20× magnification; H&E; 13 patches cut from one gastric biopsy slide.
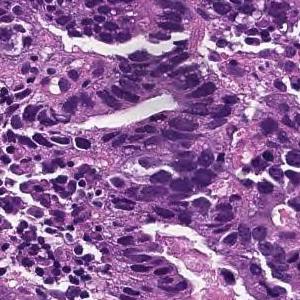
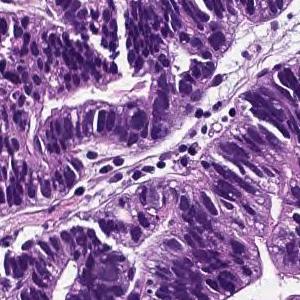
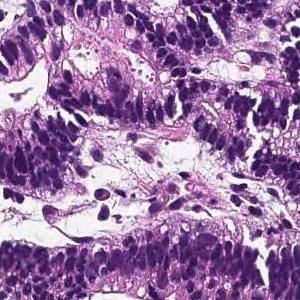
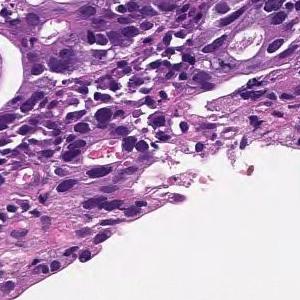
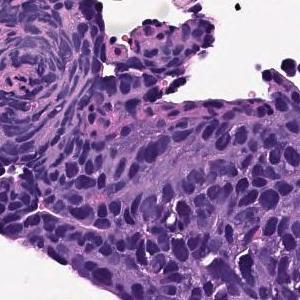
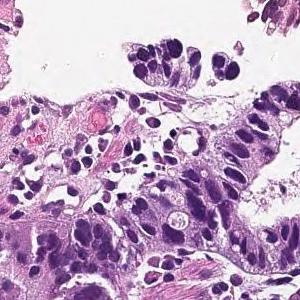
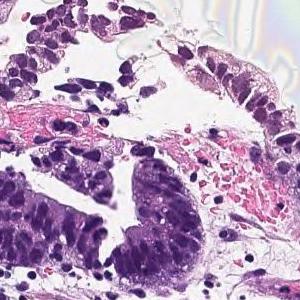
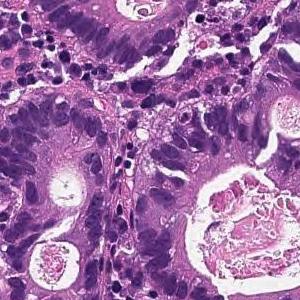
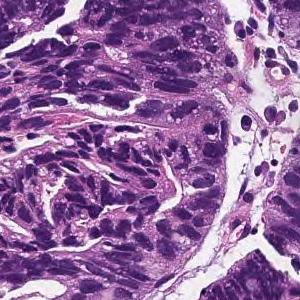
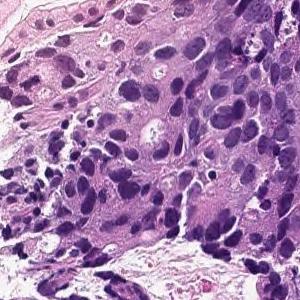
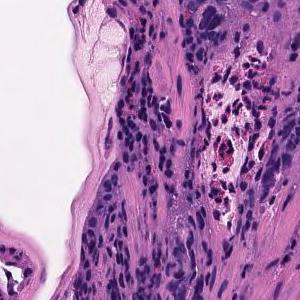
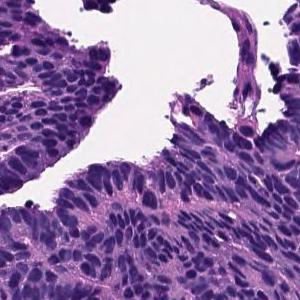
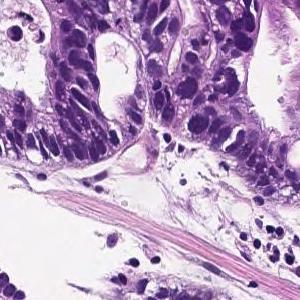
Pathology report for the slide these tiles were cut from. What the report and the diagnosis say applies to the whole slide; these tiles may miss some of the features named and may include tissue that is not tumor.
In the superficial epithelium, tumor tissue that invades by forming medium-sized to small, irregular ducts is observed. moderately differentiated tubular adenocarcinoma.
